20× magnification; 9 patches cut from one gastric biopsy slide.
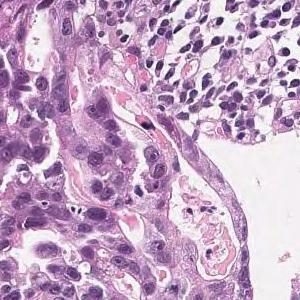
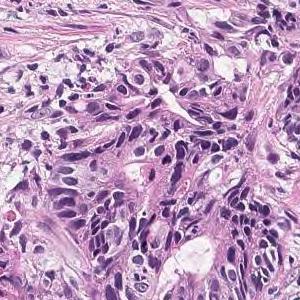
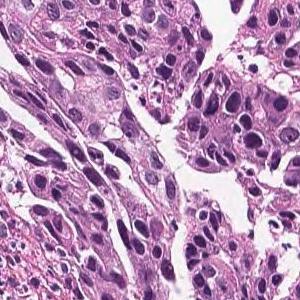
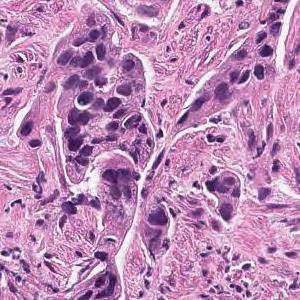
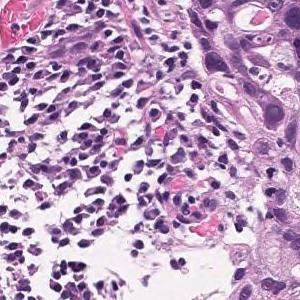
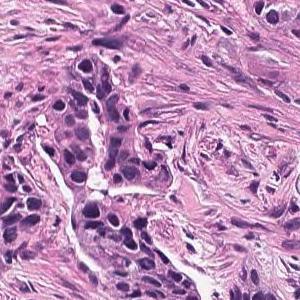
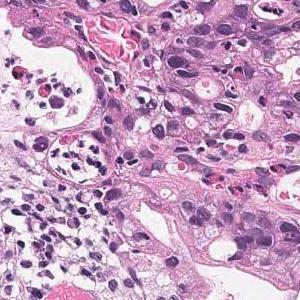
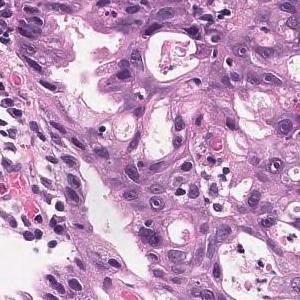
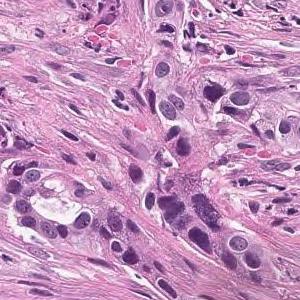
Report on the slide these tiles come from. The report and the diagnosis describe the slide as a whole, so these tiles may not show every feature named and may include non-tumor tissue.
Tumor cells are large, highly columnar, large club-shaped nuclei, and are associated with chromatin aggregation. Papillary adenocarcinoma.
